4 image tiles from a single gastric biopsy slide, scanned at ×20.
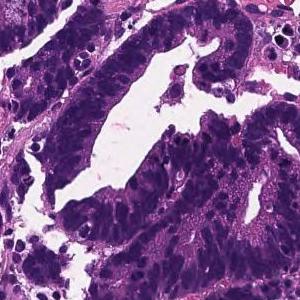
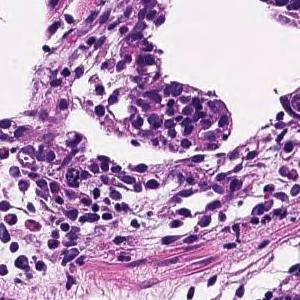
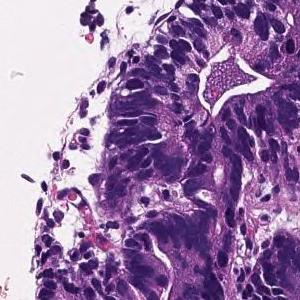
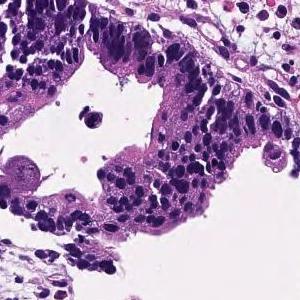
Diagnostic report for the slide these tiles come from. The report describes the whole slide, diagnosis included: not every finding it names need appear in these tiles, which may also show non-tumor tissue.
In the superficial epithelium, tumor tissue that invades by forming medium-sized to small, irregular ducts is observed. moderately differentiated tubular adenocarcinoma.
